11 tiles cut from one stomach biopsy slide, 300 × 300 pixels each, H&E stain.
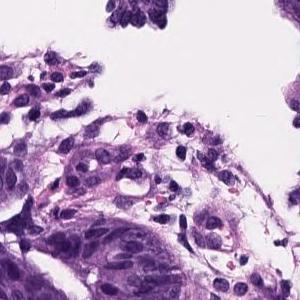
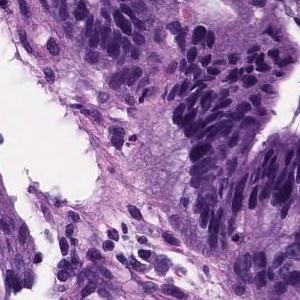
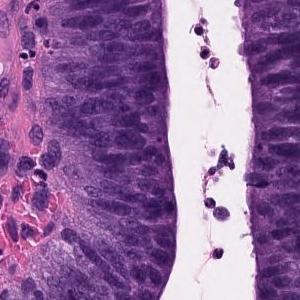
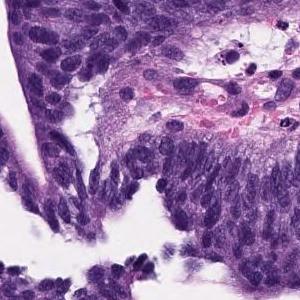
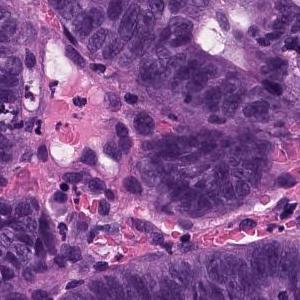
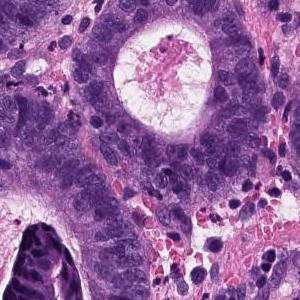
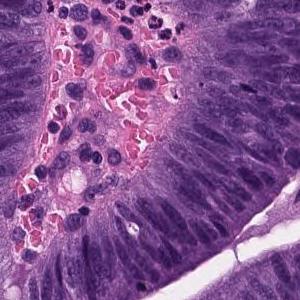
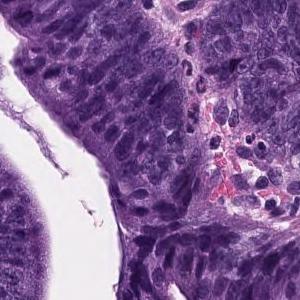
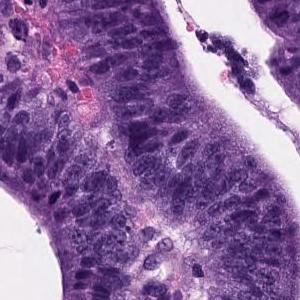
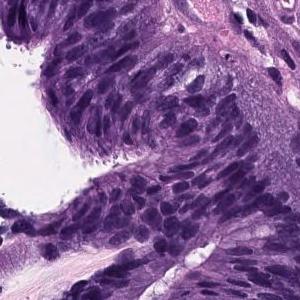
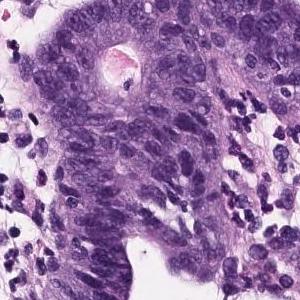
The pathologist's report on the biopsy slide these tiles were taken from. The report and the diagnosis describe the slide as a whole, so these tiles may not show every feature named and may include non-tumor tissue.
Papillo-tubular growth of atypical tubules with nuclear swelling is observed. Well differentiated tubular adenocarcinoma
